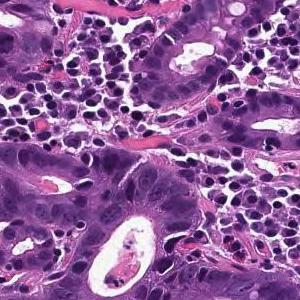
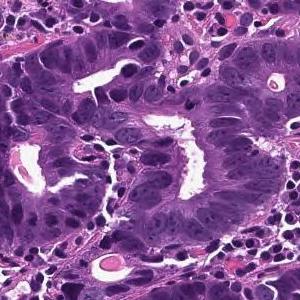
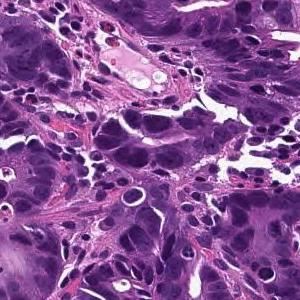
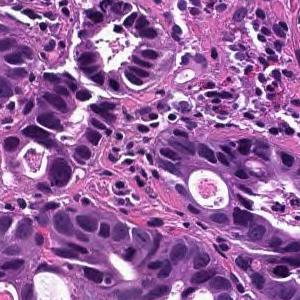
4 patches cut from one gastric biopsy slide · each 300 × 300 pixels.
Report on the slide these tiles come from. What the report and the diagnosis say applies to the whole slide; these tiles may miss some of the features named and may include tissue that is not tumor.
From the superficial epithelium to the muscularis mucosae, tumor tissue consisting of medium-sized and irregular glandular ducts infiltrating is observed. Well differentiated tubular adenocarcinoma
